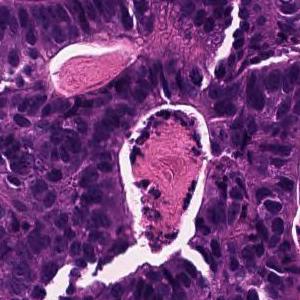
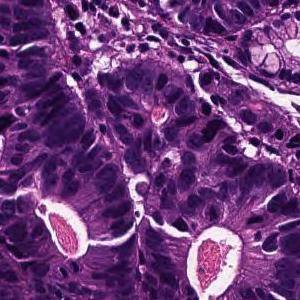
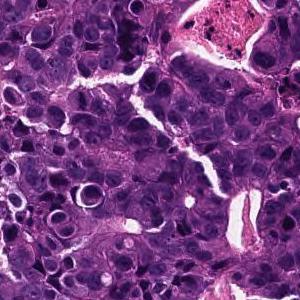
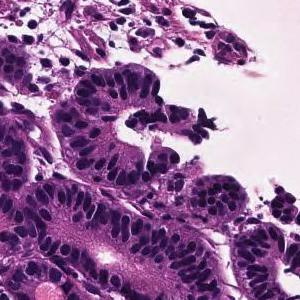
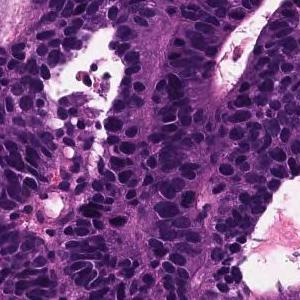
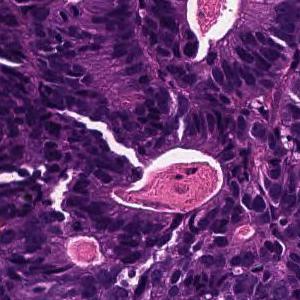
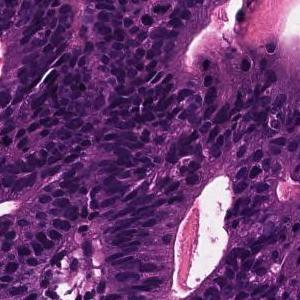
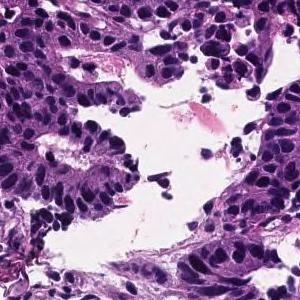
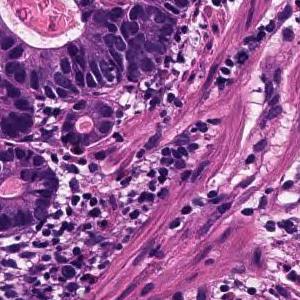
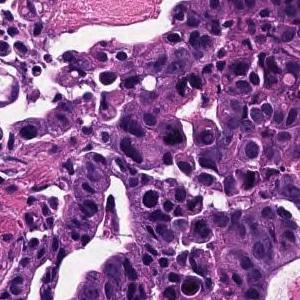
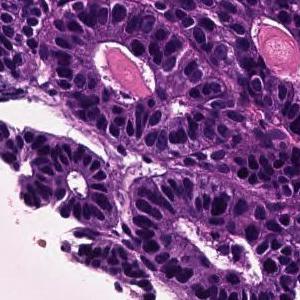
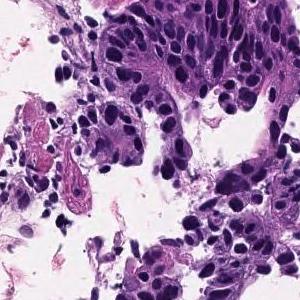
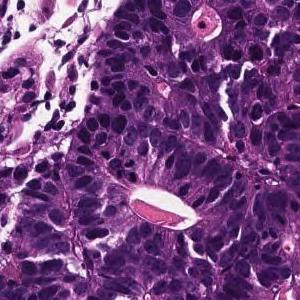
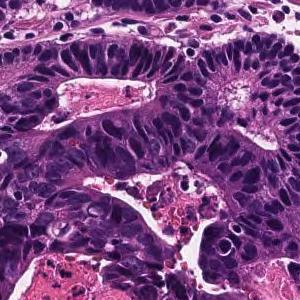
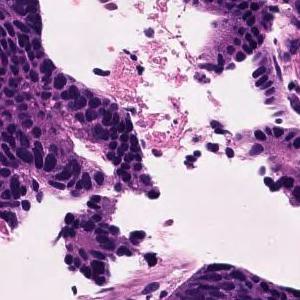
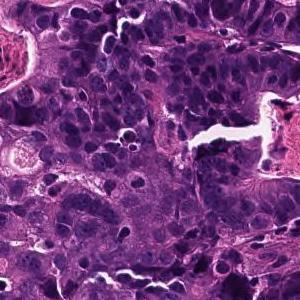
16 image tiles from a single gastric biopsy slide, each 300 × 300 pixels, ×20.
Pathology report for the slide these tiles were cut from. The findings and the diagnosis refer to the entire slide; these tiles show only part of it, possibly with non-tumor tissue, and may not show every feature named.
In the superficial epithelium, tumor tissue that invades by forming medium-sized to small, irregular ducts is observed. moderately differentiated tubular adenocarcinoma.
